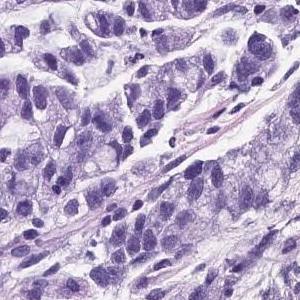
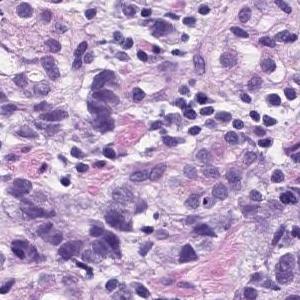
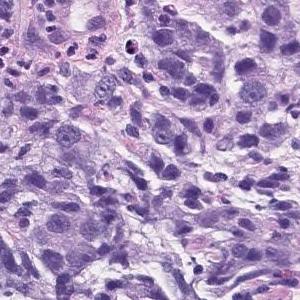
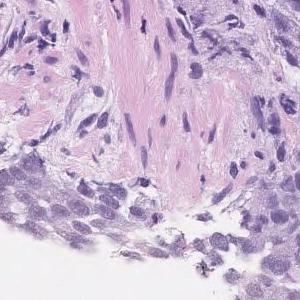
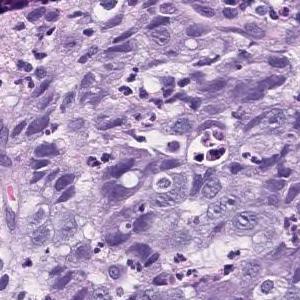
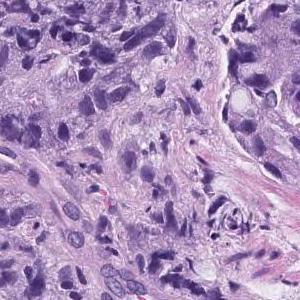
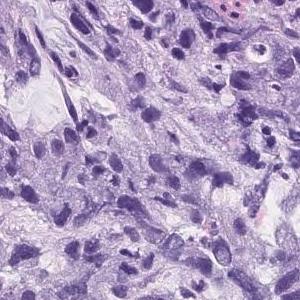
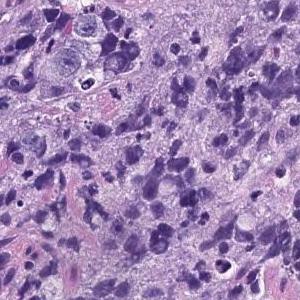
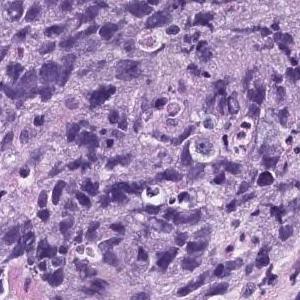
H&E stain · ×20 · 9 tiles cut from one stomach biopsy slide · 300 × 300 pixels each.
Diagnostic report for the slide these tiles come from. What the report and the diagnosis say applies to the whole slide; these tiles may miss some of the features named and may include tissue that is not tumor.
Atypical l cells with atypical nuclei forming solid vesicles or small irregular atypical ducts that proliferate in a complex manner. poorly differentiated adenocarcinoma, solid type, moderately differentiated tubular adenocarcinoma
The term "solid type" comes from the Japanese Classification of Gastric Carcinoma; the WHO 2019 equivalent is tubular adenocarcinoma, poorly differentiated.
